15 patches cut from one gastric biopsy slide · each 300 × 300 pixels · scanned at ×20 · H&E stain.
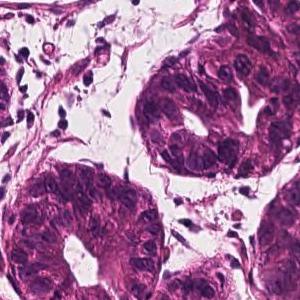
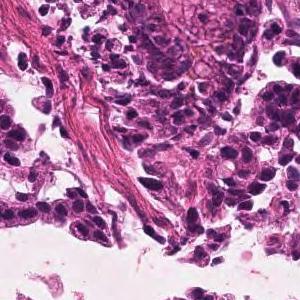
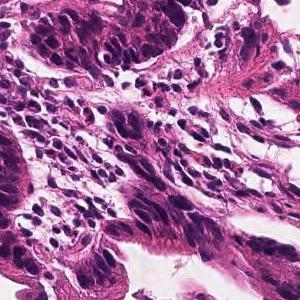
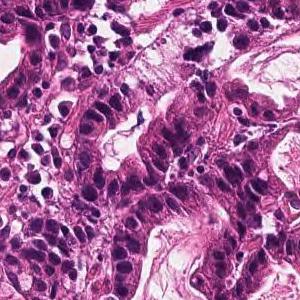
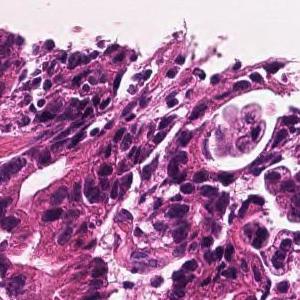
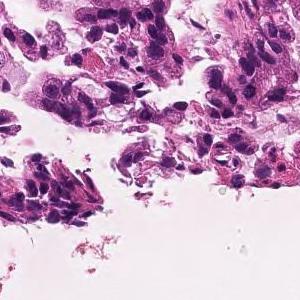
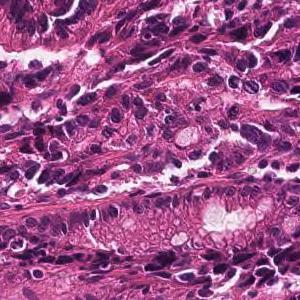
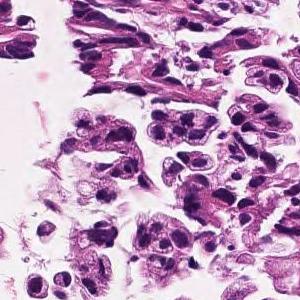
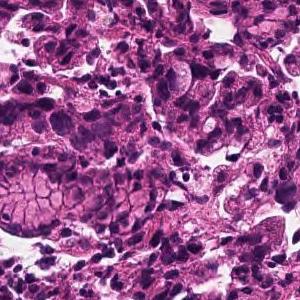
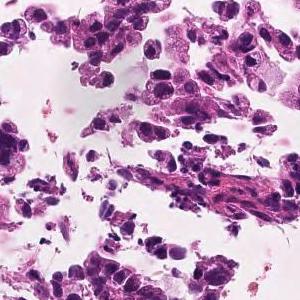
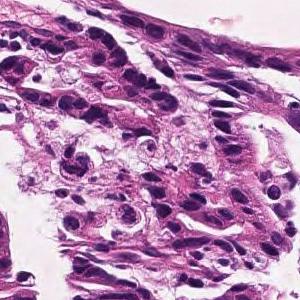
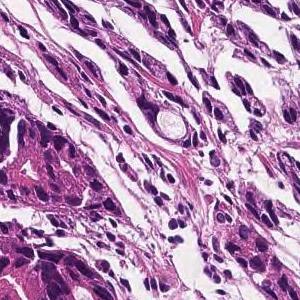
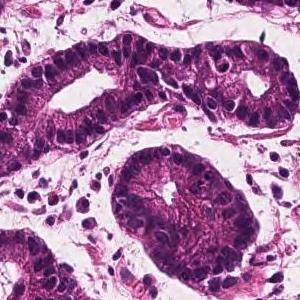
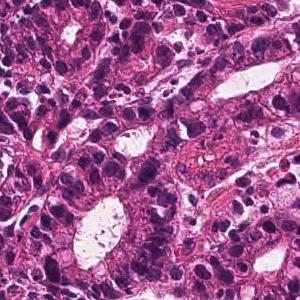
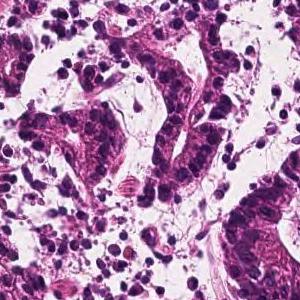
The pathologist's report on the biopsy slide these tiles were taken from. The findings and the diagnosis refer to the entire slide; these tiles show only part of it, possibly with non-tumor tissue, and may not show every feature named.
In the superficial epithelium, tumor tissue that invades by forming medium-sized to small, irregular ducts is observed. moderately differentiated tubular adenocarcinoma.
